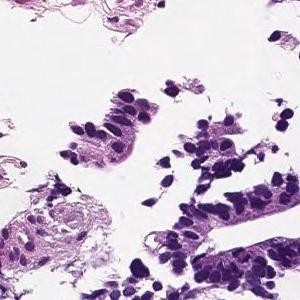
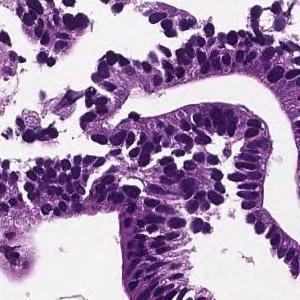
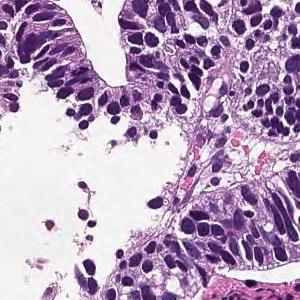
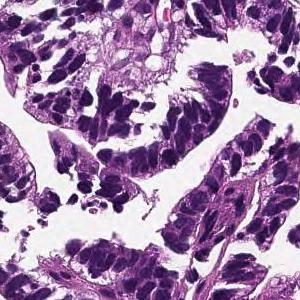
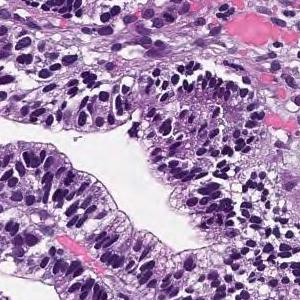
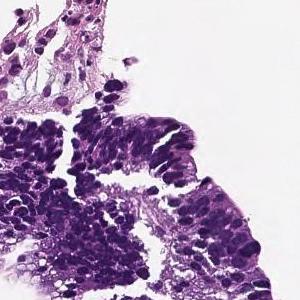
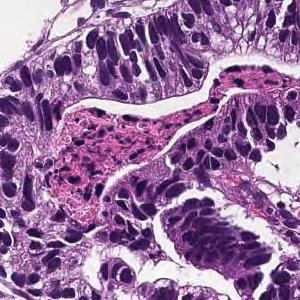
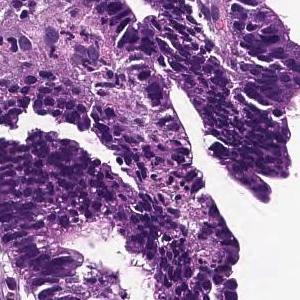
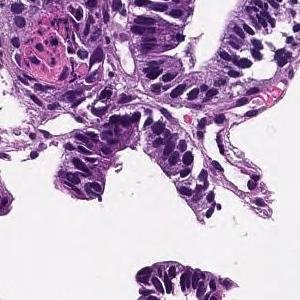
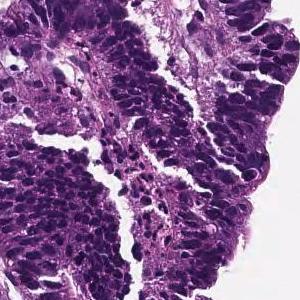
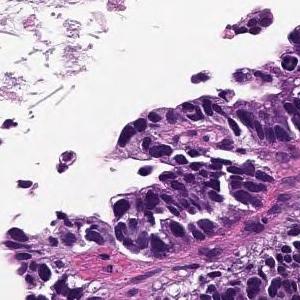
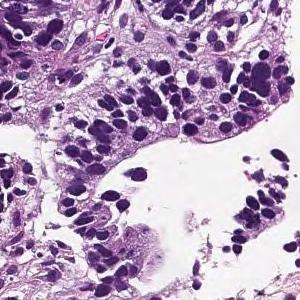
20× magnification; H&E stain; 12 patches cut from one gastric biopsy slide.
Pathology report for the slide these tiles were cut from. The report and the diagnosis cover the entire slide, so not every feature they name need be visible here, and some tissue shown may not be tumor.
Tumor cells are large, highly columnar, large club-shaped nuclei, and are associated with chromatin aggregation. Papillary adenocarcinoma.
